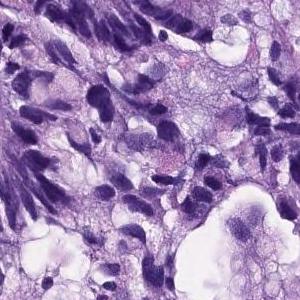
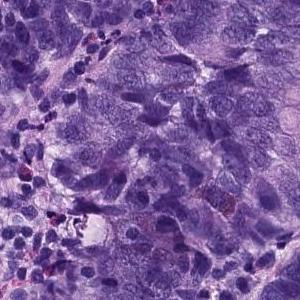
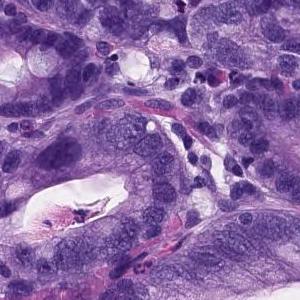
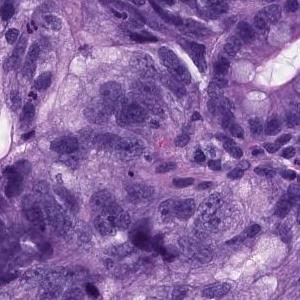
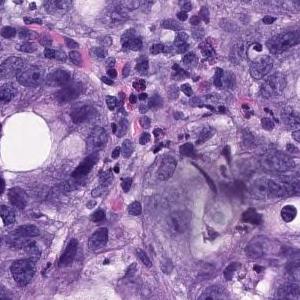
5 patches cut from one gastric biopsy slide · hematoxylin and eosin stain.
Pathology report for the biopsy slide these tiles were cut from. The findings and the diagnosis refer to the entire slide; these tiles show only part of it, possibly with non-tumor tissue, and may not show every feature named.
There are large atypical epithelial cells infiltrating and proliferating while forming atypical glandular cavities showing a fusion tendency. Moderately differentiated tubular adenocarcinoma.
